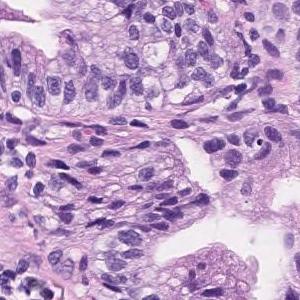
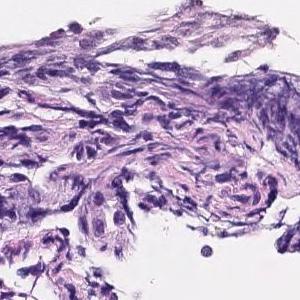
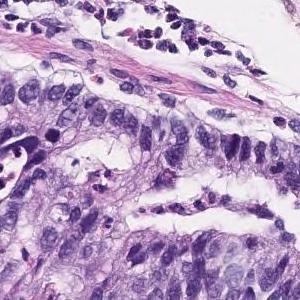
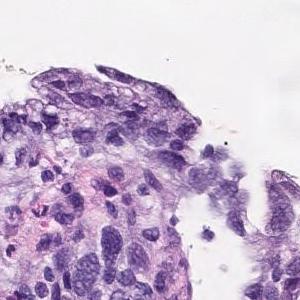
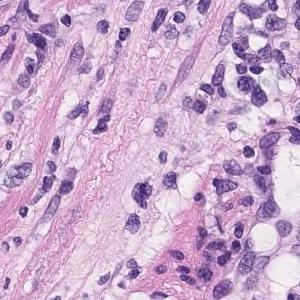
Hematoxylin and eosin stain · ×20 · 5 image tiles from a single gastric biopsy slide · 300×300 px each.
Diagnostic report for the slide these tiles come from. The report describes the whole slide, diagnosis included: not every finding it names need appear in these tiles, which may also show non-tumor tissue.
Tumor cells are large, highly columnar, large club-shaped nuclei, and are associated with chromatin aggregation. Papillary adenocarcinoma.
